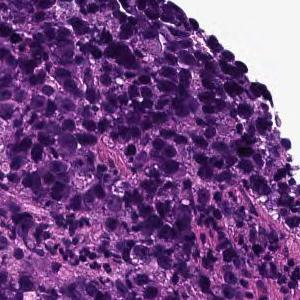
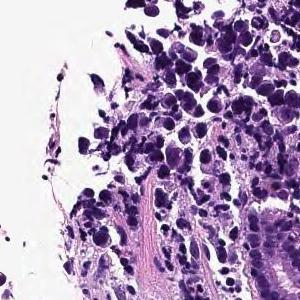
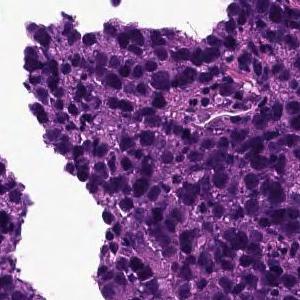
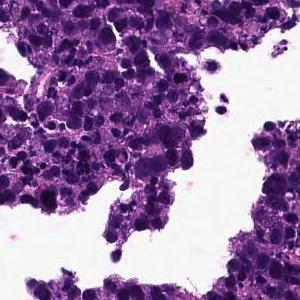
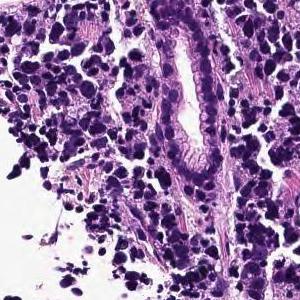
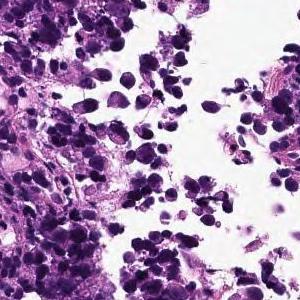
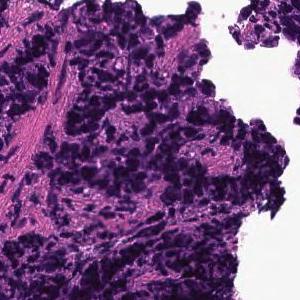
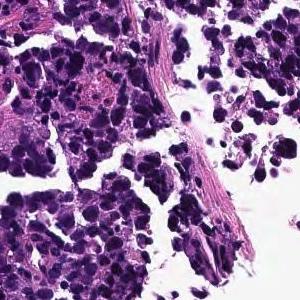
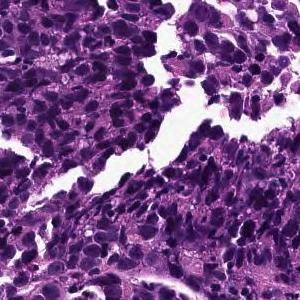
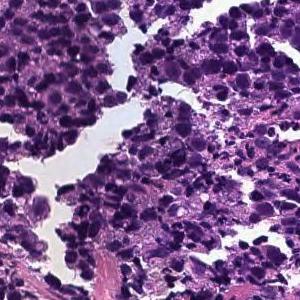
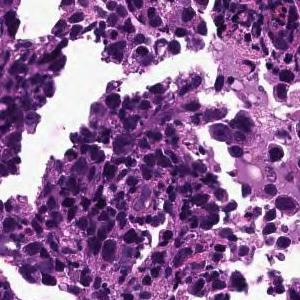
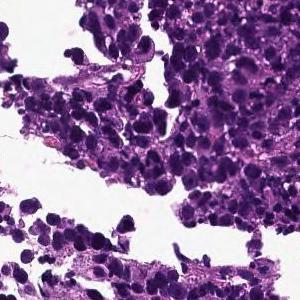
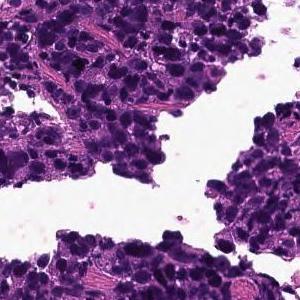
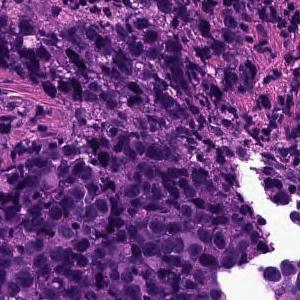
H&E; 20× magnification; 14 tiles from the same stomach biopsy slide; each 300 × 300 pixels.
Pathology report for the biopsy slide these tiles were cut from. The report and the diagnosis describe the slide as a whole, so these tiles may not show every feature named and may include non-tumor tissue.
The superficial epithelium shows large alveolar or sheet-like forms, and some tumor tissue infiltrates with small irregular ducts. Poorly differentiated adenocarcinoma, solid-type
Subtype: Poorly differentiated adenocarcinoma, solid type. This name comes from the Japanese Classification of Gastric Carcinoma; the WHO 2019 classification calls it tubular adenocarcinoma, poorly differentiated.
